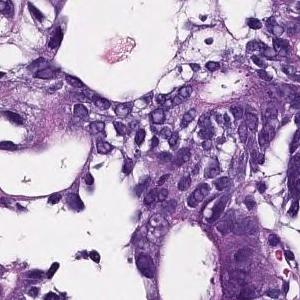
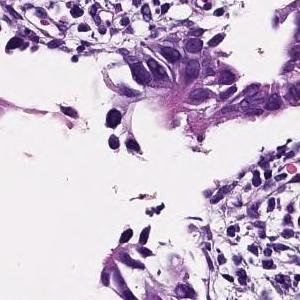
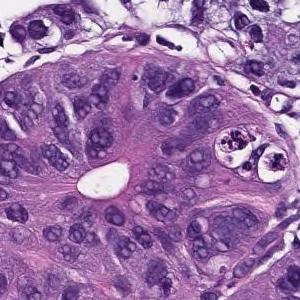
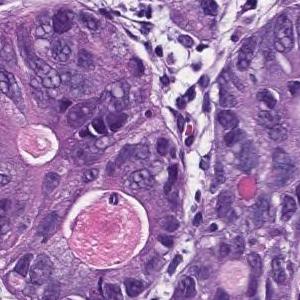
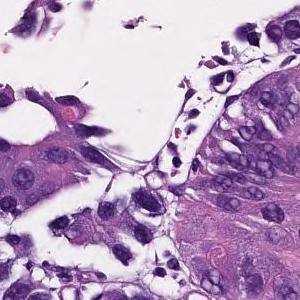
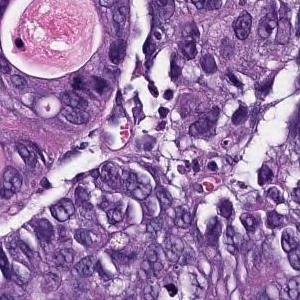
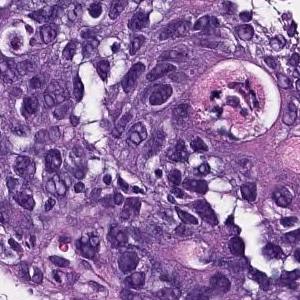
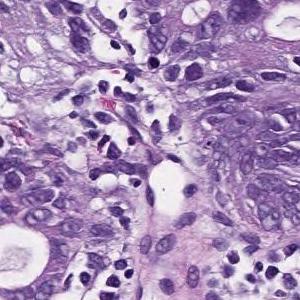
8 patches cut from one gastric biopsy slide, 300×300 px each, H&E stain, ×20.
Report on the slide these tiles come from. Both the report and the diagnosis are for the whole slide: these tiles need not show every feature named, and some of the tissue shown may not be tumor.
In the superficial epithelium, tumor tissue that invades by forming medium-sized to small, irregular ducts is observed. moderately differentiated tubular adenocarcinoma.
